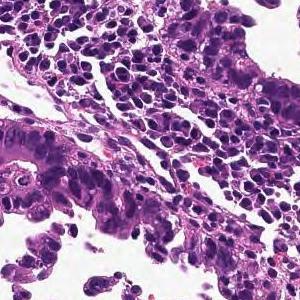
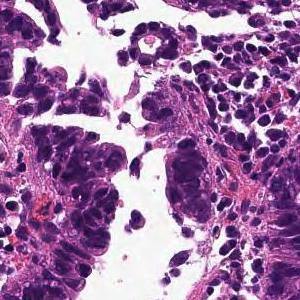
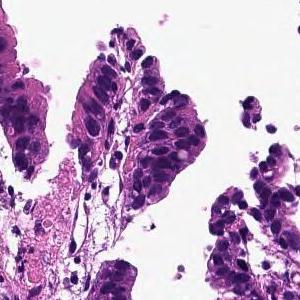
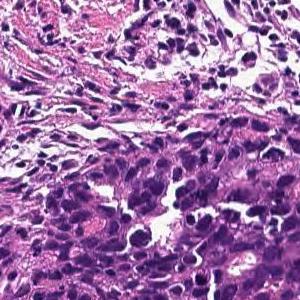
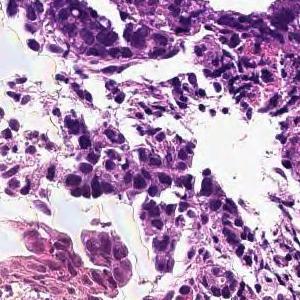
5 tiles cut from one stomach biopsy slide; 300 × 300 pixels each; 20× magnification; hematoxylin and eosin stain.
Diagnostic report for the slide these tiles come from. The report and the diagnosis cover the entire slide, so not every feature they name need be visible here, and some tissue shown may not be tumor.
In the superficial epithelium, tumor tissue that invades by forming medium-sized to small, irregular ducts is observed. moderately differentiated tubular adenocarcinoma.
